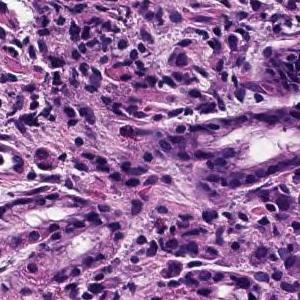
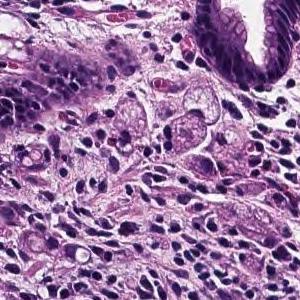
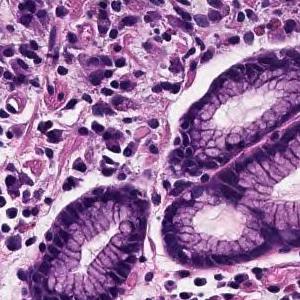
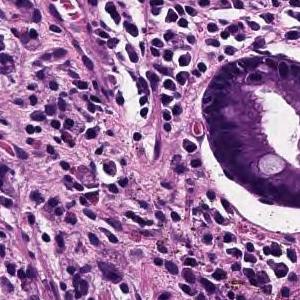
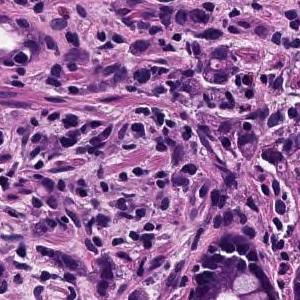
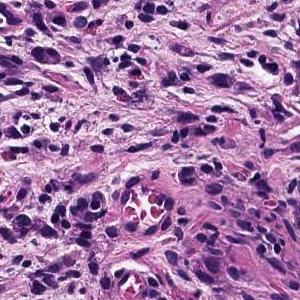
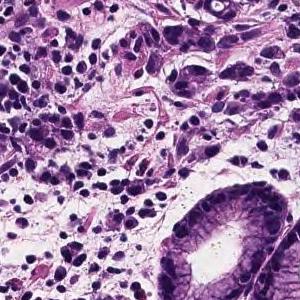
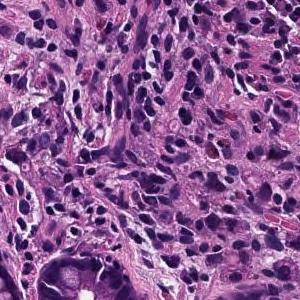
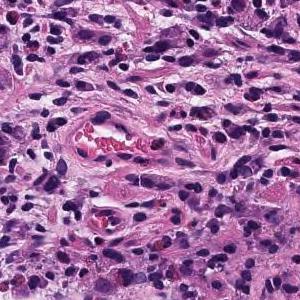
9 image tiles from a single gastric biopsy slide, 20× magnification, hematoxylin and eosin stain.
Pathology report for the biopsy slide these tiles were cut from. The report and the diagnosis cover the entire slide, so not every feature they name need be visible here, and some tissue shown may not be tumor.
Tumor tissue consisting of cord-like or small, irregular glandular ducts fused and infiltrated is observed in the superficial epithelium. Poorly differentiated adenocarcinoma, non-solid type
The term "non-solid type" comes from the Japanese Classification of Gastric Carcinoma.
